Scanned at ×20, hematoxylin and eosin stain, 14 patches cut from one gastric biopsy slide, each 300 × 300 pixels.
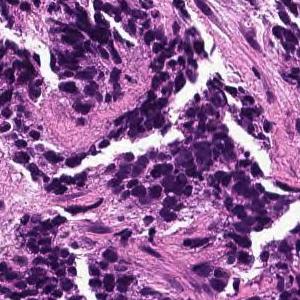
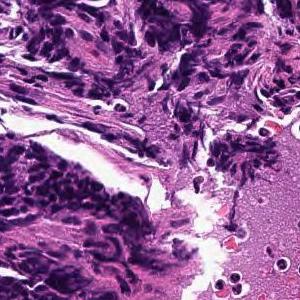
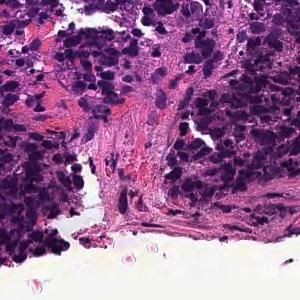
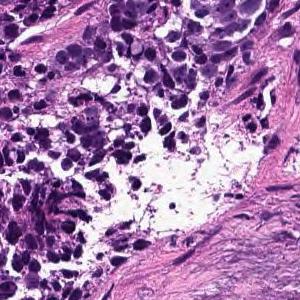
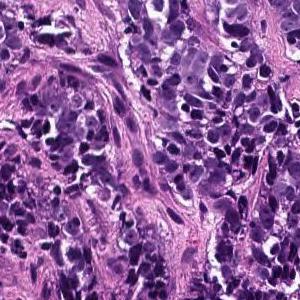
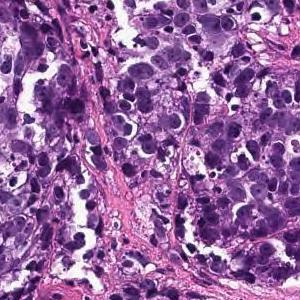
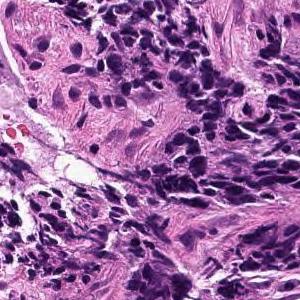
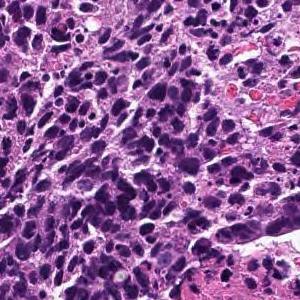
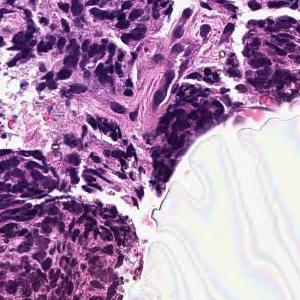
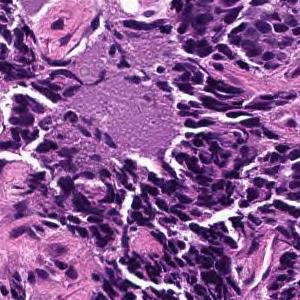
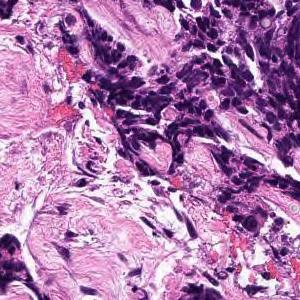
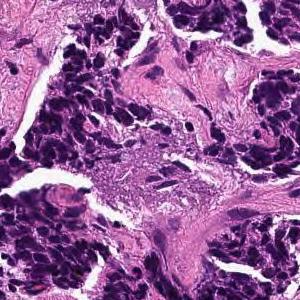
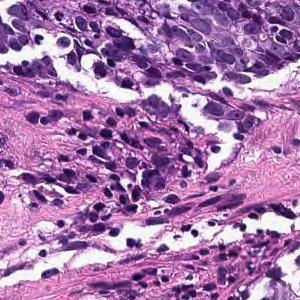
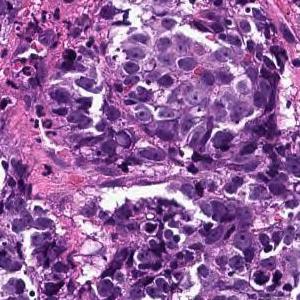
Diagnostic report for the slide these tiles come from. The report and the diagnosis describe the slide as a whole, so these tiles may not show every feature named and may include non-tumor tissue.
The superficial epithelium shows a large sheet or alveolar shape, and tumor tissue infiltrating without irregular ducts is observed. Poorly differentiated adenocarcinoma, solid-type
Classified as poorly differentiated adenocarcinoma, solid type (Japanese Classification of Gastric Carcinoma). The WHO 2019 equivalent is tubular adenocarcinoma, poorly differentiated.
